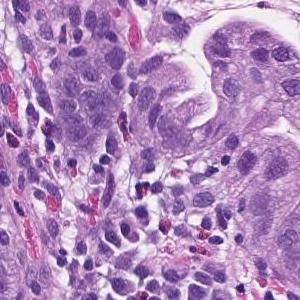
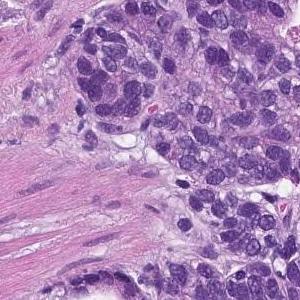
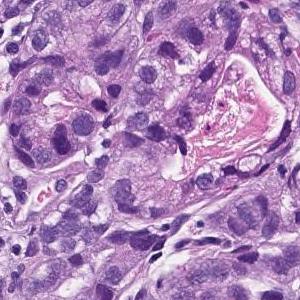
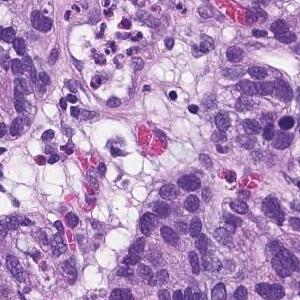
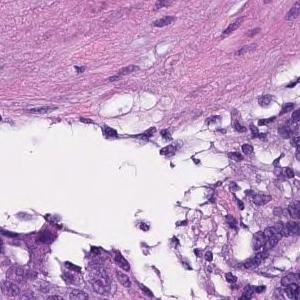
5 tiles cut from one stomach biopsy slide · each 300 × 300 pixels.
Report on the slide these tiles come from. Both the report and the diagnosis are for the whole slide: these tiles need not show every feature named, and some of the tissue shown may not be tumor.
From the superficial epithelium to the muscularis mucosae, tumor tissue consisting of medium-sized and irregular glandular ducts infiltrating is observed. Well differentiated tubular adenocarcinoma
